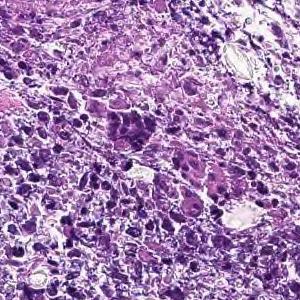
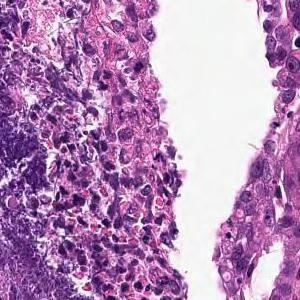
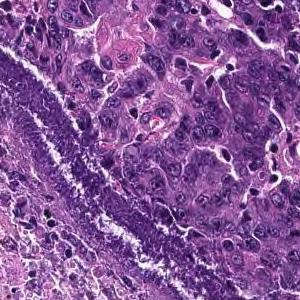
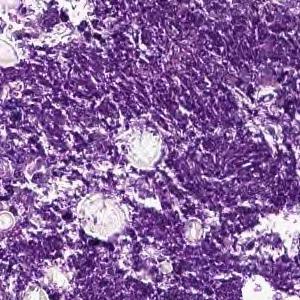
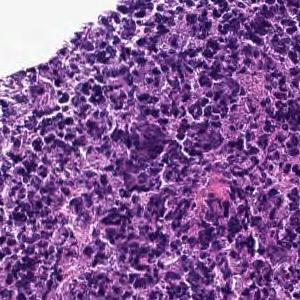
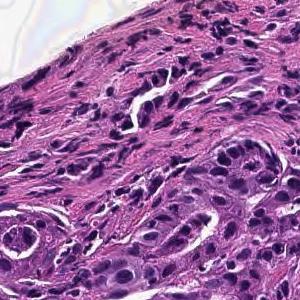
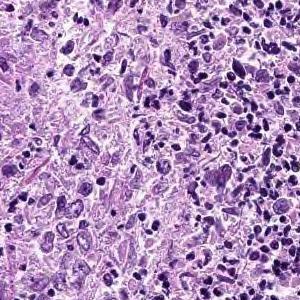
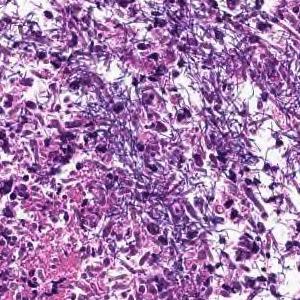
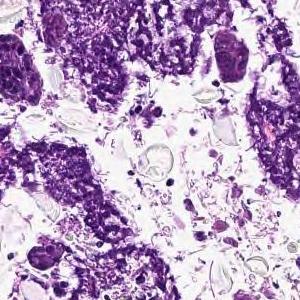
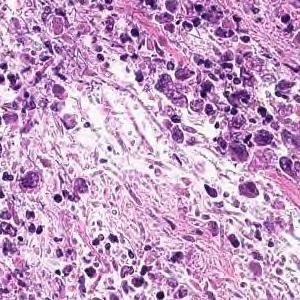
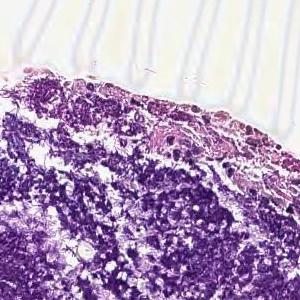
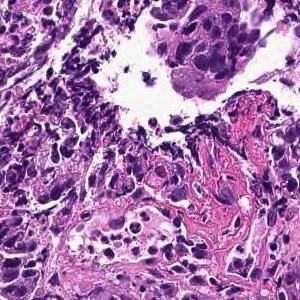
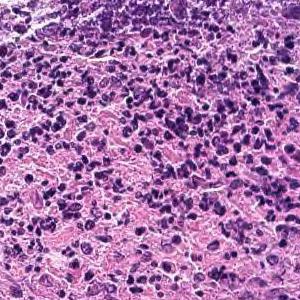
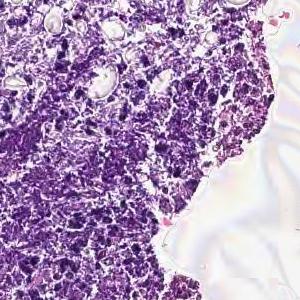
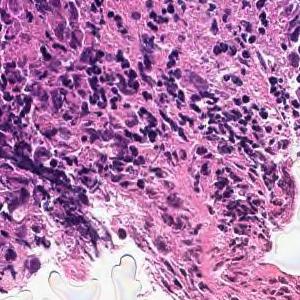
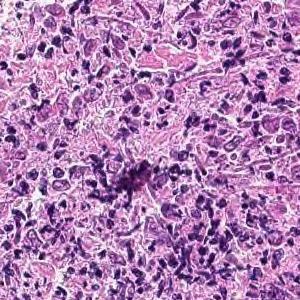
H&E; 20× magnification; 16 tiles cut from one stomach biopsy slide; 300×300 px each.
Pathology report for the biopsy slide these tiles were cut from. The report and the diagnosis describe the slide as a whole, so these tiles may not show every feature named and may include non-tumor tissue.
Cancers with polygonal nuclei do not show glandular formation and are densely, in part, cord-like and proliferate. Poorly differentiated adenocarcinoma
Histological subtype: Poorly differentiated adenocarcinoma, non-solid type.
The term "non-solid type" comes from the Japanese Classification of Gastric Carcinoma.
